20× magnification; 8 tiles from the same stomach biopsy slide; 300×300 px each.
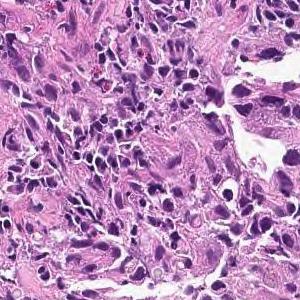
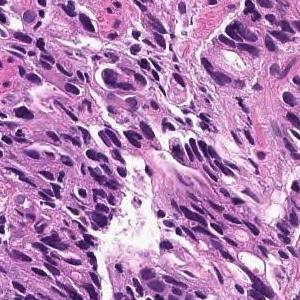
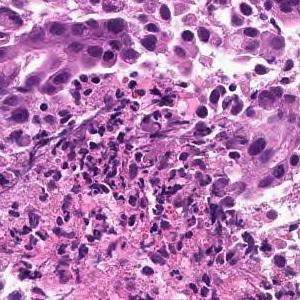
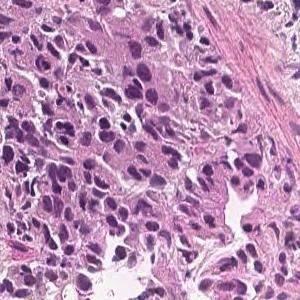
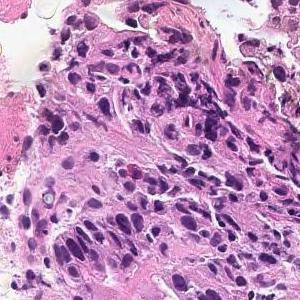
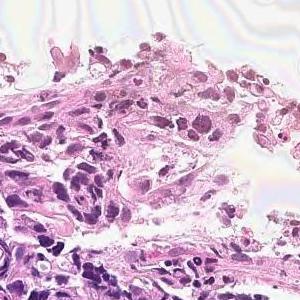
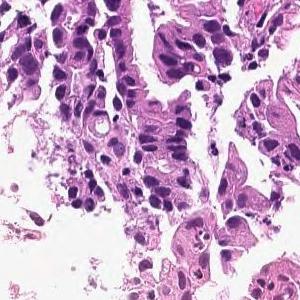
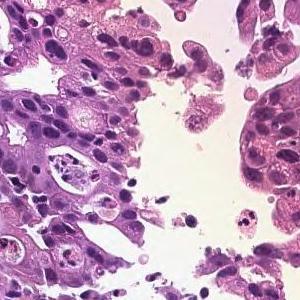
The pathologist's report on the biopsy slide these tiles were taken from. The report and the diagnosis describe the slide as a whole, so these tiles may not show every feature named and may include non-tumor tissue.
On the superficial epithelium, tumor tissue consisting of large irregular glandular ducts partially fused and infiltrated is observed. Well to moderately differentiated tubular adenocarcinoma (well differentiated tubular adenocarcinoma, moderately differentiated tubular adenocarcinoma)
Subtype: Well to moderately differentiated tubular adenocarcinoma.
